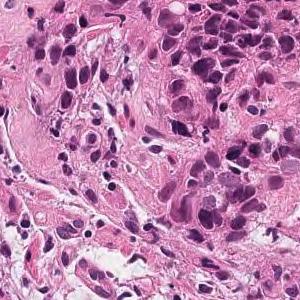
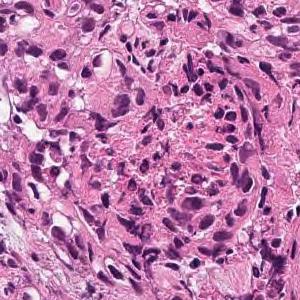
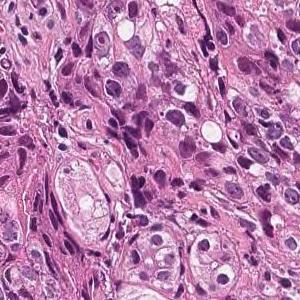
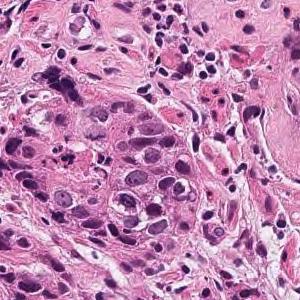
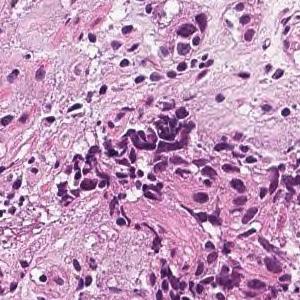
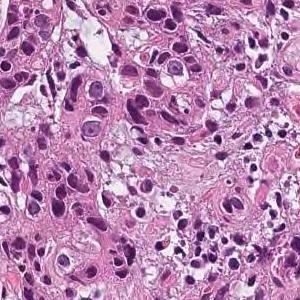
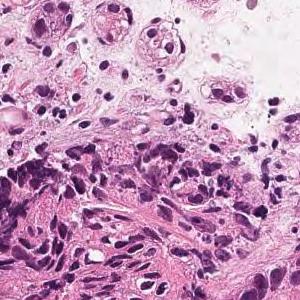
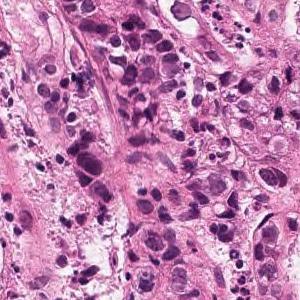
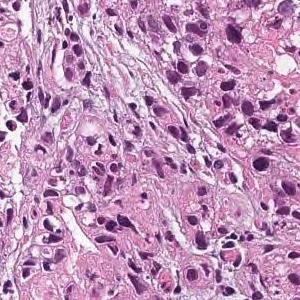
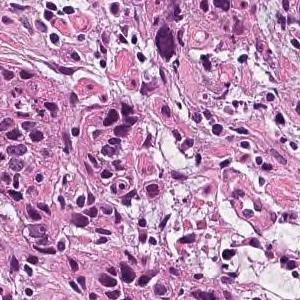
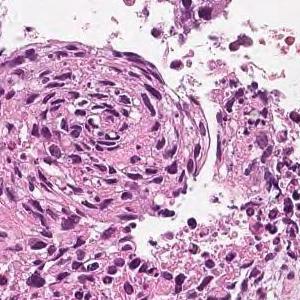
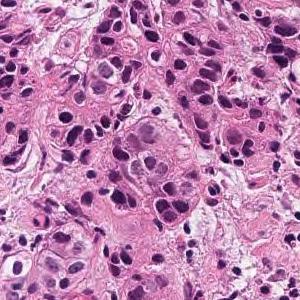
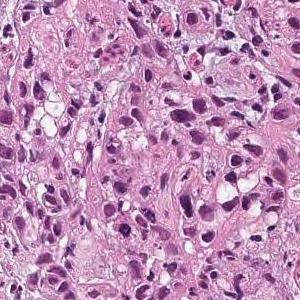
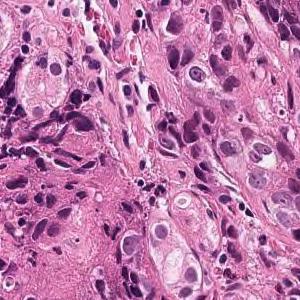
×20; 14 tiles from the same stomach biopsy slide; each 300 × 300 pixels.
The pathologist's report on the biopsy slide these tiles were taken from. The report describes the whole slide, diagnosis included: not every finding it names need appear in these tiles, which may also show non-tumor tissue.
Medium to small, irregular glandular ducts are formed in the superficial epithelium, and in some cases, the glandular ducts are fused to show solid alveolar lesions and infiltrating tumor tissue is observed. Moderately to poorly differentiated adenocarcinoma.
